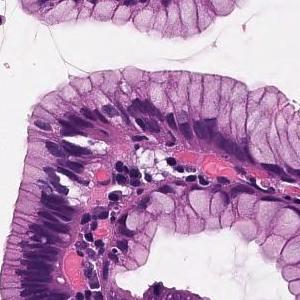
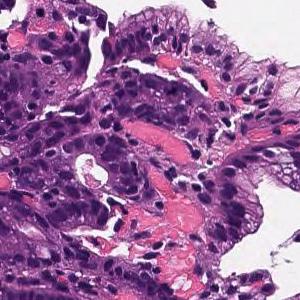
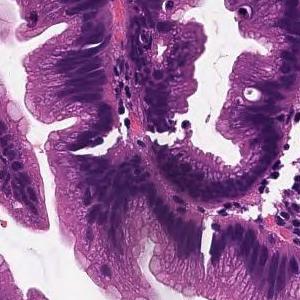
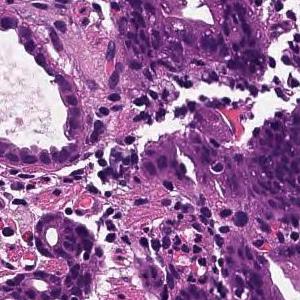
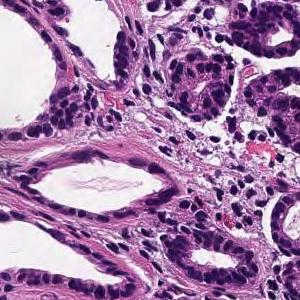
H&E stain · 5 tiles from the same stomach biopsy slide · each 300 × 300 pixels.
Report on the slide these tiles come from. The report and the diagnosis cover the entire slide, so not every feature they name need be visible here, and some tissue shown may not be tumor.
Cells with elliptical or atypical nuclei form dense ducts with relatively clear growth. Well differentiated tubular adenocarcinoma
